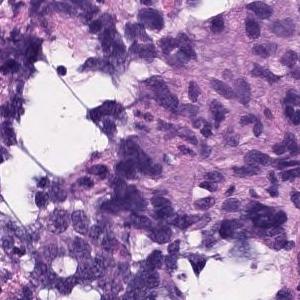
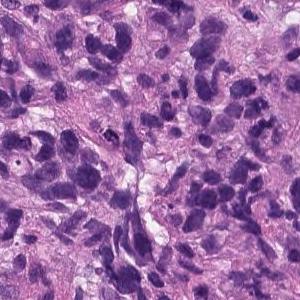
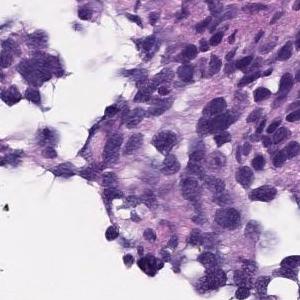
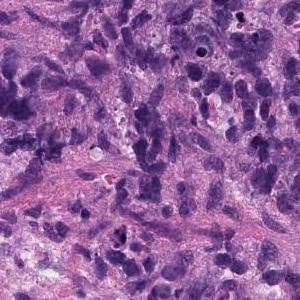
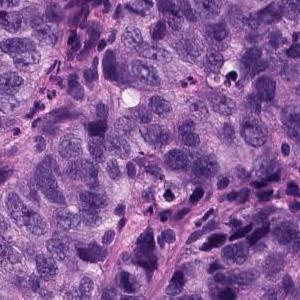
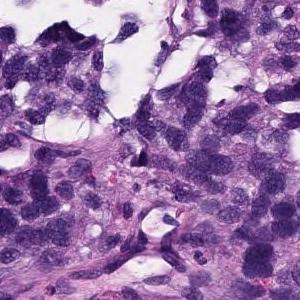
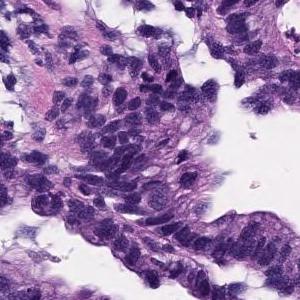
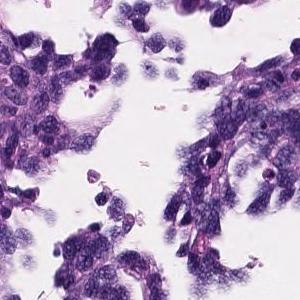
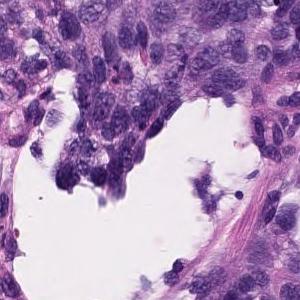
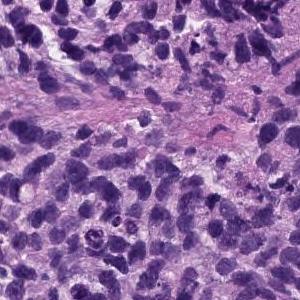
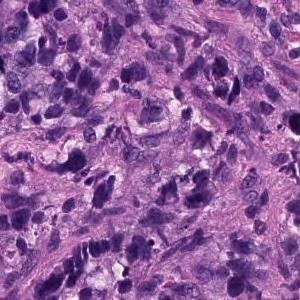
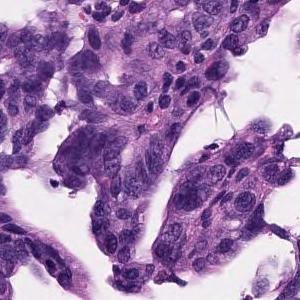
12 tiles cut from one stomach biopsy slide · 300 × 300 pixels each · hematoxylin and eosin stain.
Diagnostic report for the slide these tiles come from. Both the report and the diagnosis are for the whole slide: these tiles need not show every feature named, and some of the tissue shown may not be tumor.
Atypical l cells with atypical nuclei under the mucosa growing in isolation and scattered. Poorly differentiated adenocarcinoma (poorly differentiated adenocarcinoma, non-solid type)
Classified as poorly differentiated adenocarcinoma, non-solid type.
The term "non-solid type" comes from the Japanese Classification of Gastric Carcinoma.
